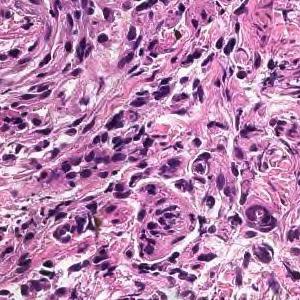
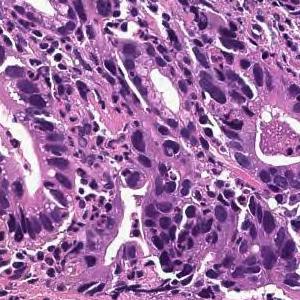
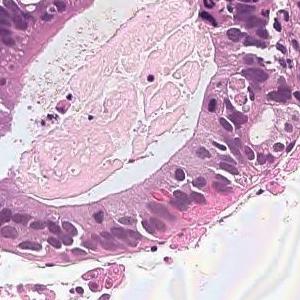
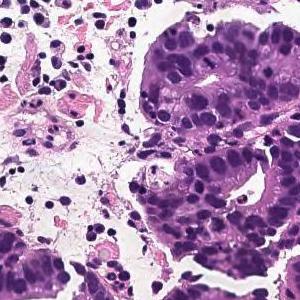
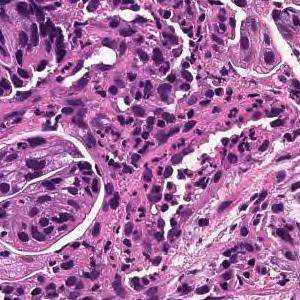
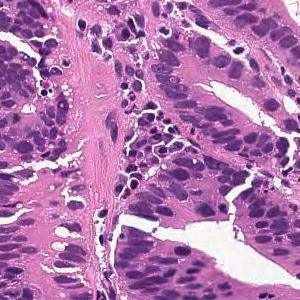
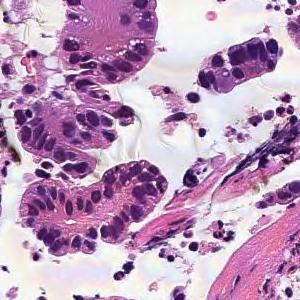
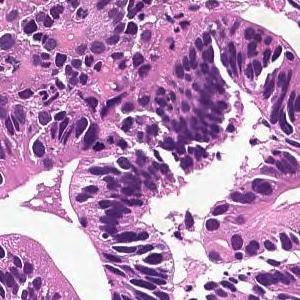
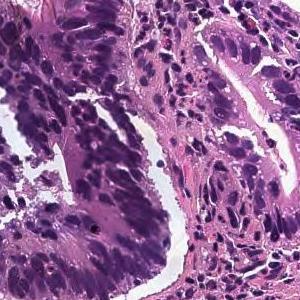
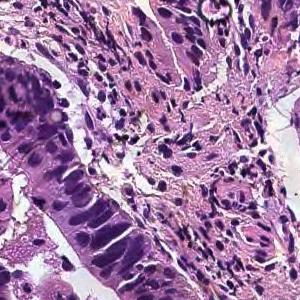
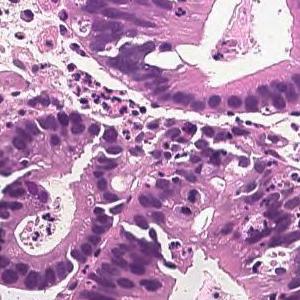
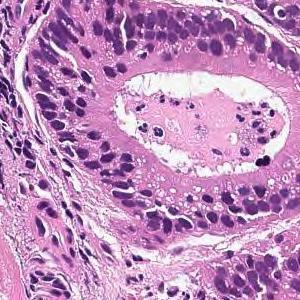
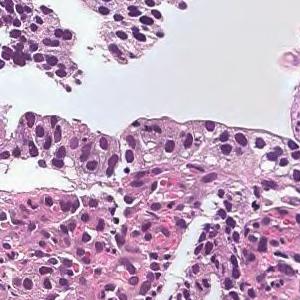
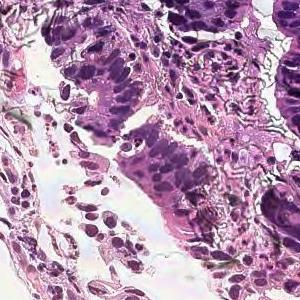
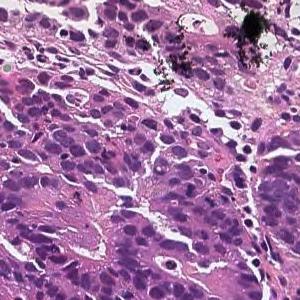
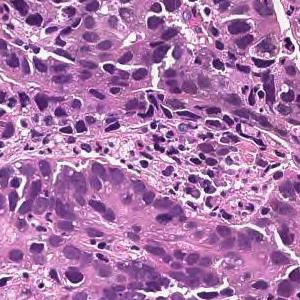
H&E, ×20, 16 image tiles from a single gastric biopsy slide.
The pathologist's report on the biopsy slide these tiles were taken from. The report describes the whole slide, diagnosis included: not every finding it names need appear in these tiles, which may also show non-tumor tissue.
On the superficial epithelium, tumor tissue consisting of large irregular glandular ducts partially fused and infiltrated is observed. Well to moderately differentiated tubular adenocarcinoma (well differentiated tubular adenocarcinoma, moderately differentiated tubular adenocarcinoma)
Tumor subtype: well to moderately differentiated tubular adenocarcinoma.
